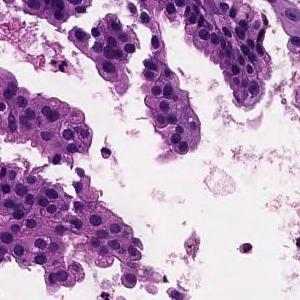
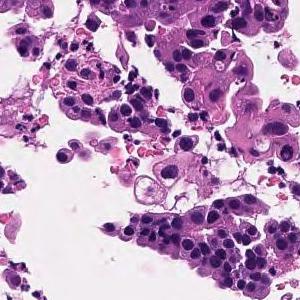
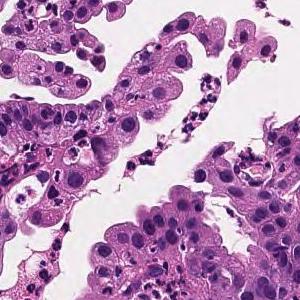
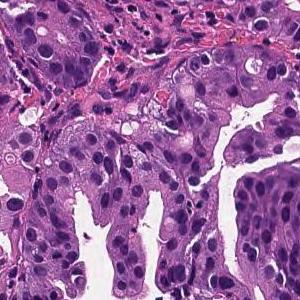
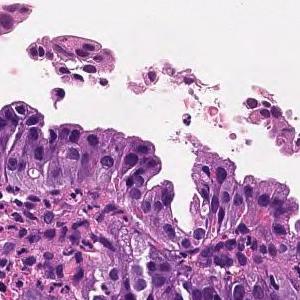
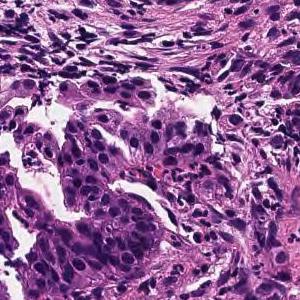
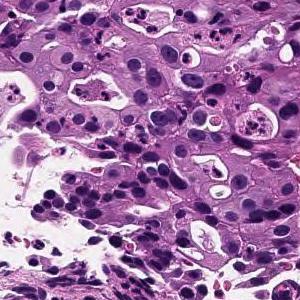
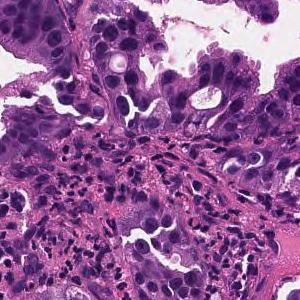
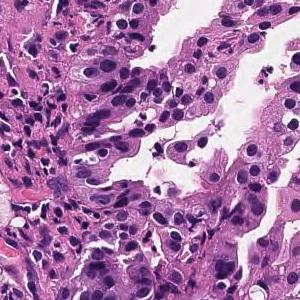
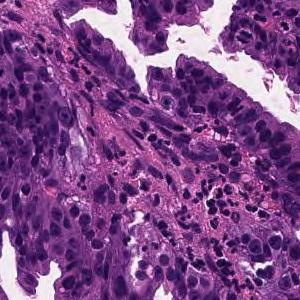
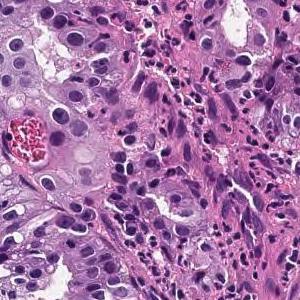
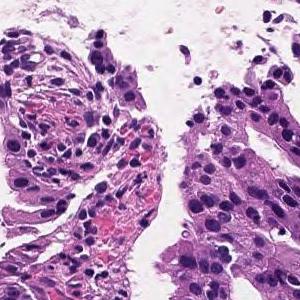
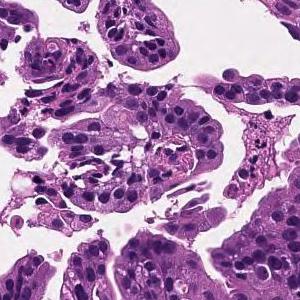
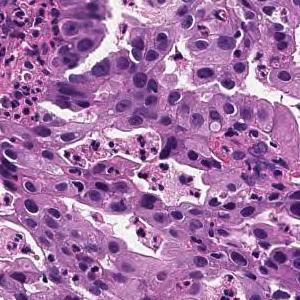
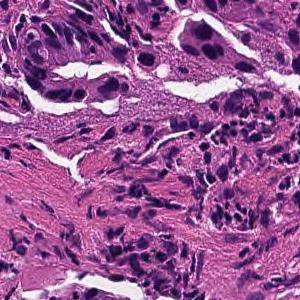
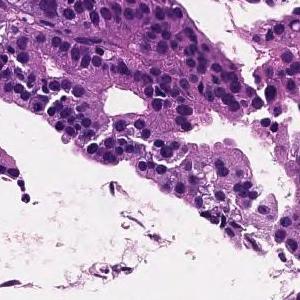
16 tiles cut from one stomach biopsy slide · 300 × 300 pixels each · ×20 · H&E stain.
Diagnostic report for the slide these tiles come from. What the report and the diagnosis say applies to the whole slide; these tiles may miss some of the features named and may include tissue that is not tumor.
On the superficial epithelium, tumor tissue consisting of large, irregular glandular ducts partially fused and infiltrated is observed. Well to moderately differentiated tubular adenocarcinoma (well differentiated tubular adenocarcinoma, moderately differentiated tubular adenocarcinoma)
Subtype: Well to moderately differentiated tubular adenocarcinoma.
